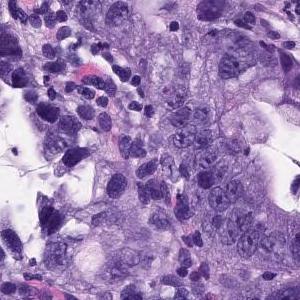
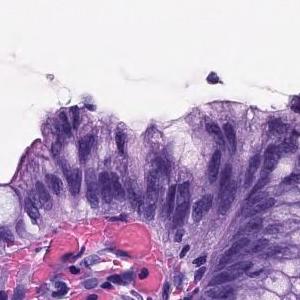
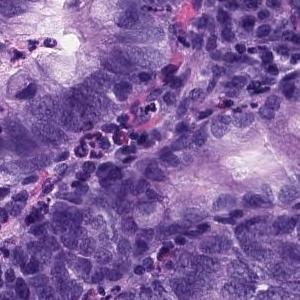
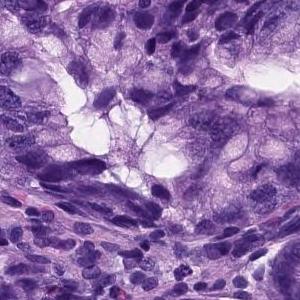
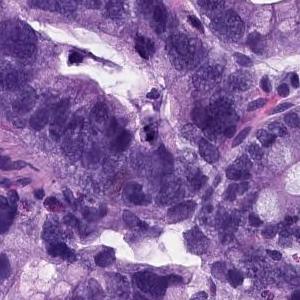
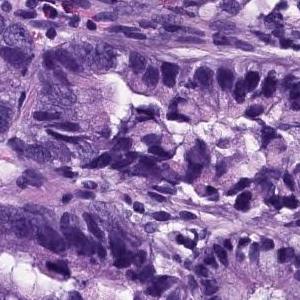
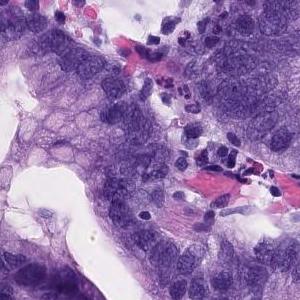
20× magnification, 7 tiles cut from one stomach biopsy slide.
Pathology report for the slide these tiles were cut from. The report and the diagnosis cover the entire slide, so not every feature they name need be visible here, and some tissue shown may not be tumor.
There are large atypical epithelial cells infiltrating and proliferating while forming atypical glandular cavities showing a fusion tendency. Moderately differentiated tubular adenocarcinoma.
